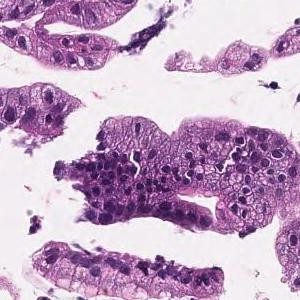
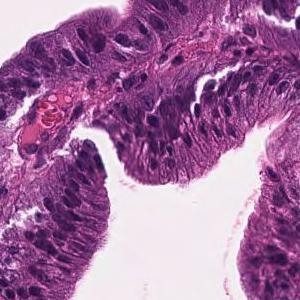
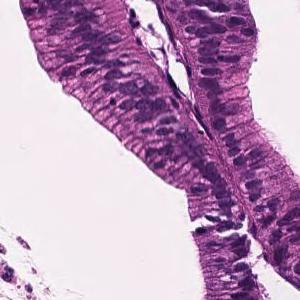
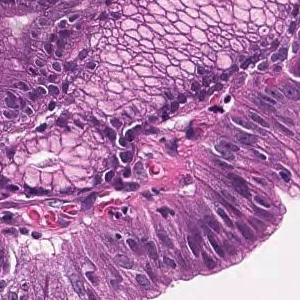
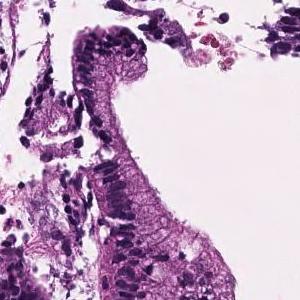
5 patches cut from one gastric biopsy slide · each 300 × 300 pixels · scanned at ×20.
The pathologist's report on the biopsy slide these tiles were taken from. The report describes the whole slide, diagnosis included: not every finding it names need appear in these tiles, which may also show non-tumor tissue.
In the superficial epithelium, tumor tissue that invades by forming medium-sized to small, irregular ducts is observed. Well differentiated tubular adenocarcinoma.
